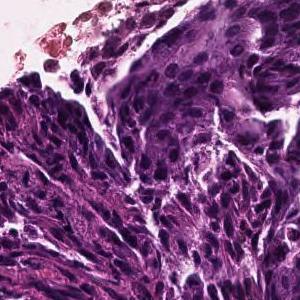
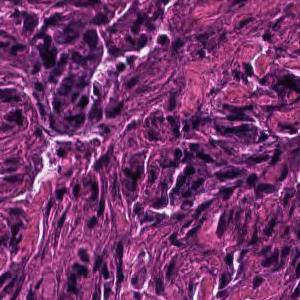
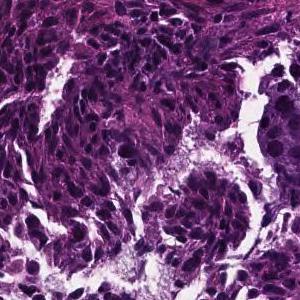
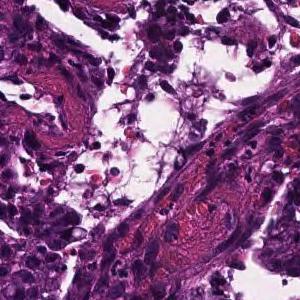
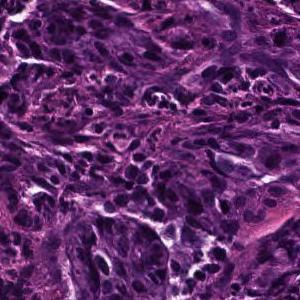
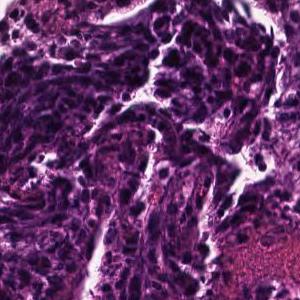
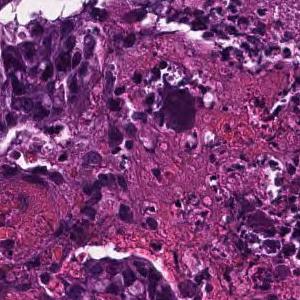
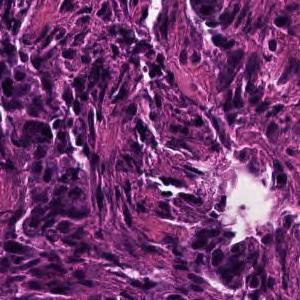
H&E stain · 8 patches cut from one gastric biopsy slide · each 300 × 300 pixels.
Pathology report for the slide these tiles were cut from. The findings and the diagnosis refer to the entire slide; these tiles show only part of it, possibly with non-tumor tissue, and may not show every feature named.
Tumor tissue consisting of medium-sized, cord-like or irregular glandular infiltration is observed in the superficial epithelium. Poorly differentiated adenocarcinoma, non-solid type or moderately differentiated tubular adenocarcinoma
Classified as moderately to poorly differentiated adenocarcinoma.
The non-solid type named here is a Japanese Classification of Gastric Carcinoma category.
